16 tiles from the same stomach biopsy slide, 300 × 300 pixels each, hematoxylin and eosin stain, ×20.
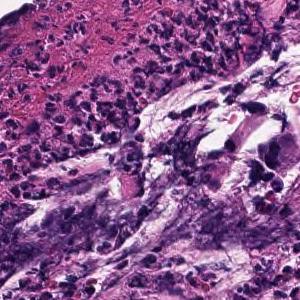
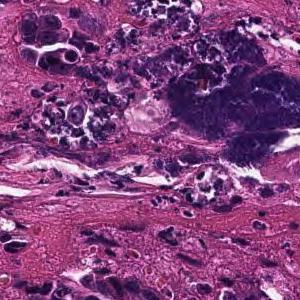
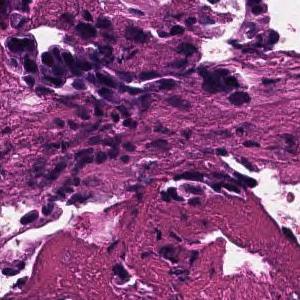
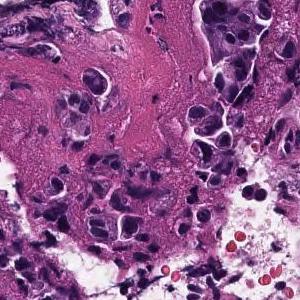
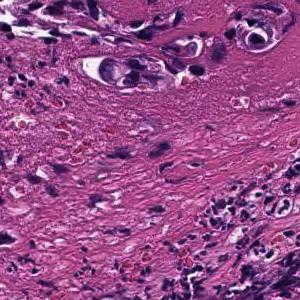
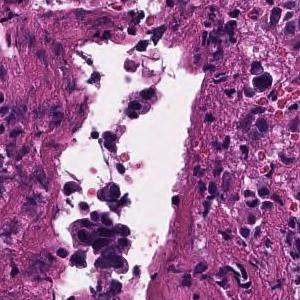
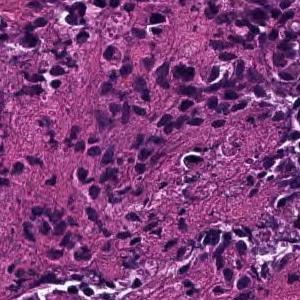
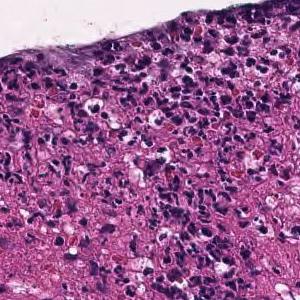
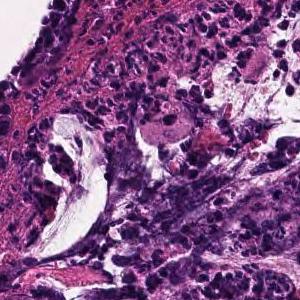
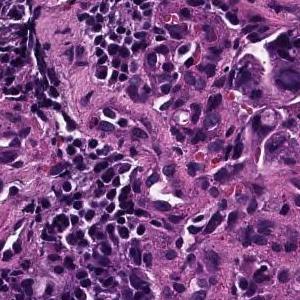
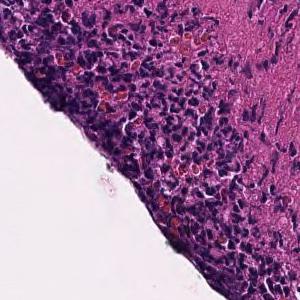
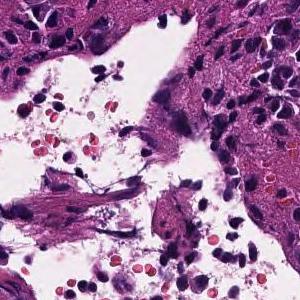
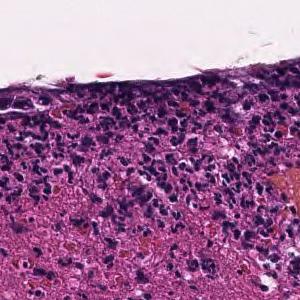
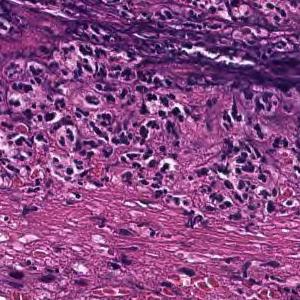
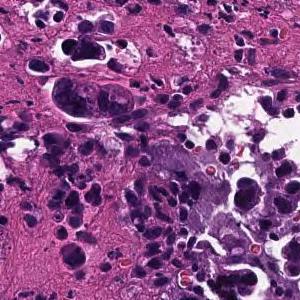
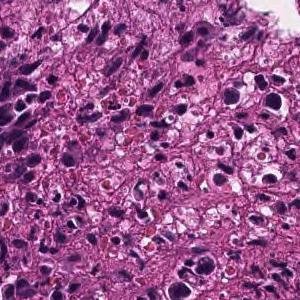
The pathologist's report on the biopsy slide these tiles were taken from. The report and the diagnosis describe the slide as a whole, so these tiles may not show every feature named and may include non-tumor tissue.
Tumor tissue consisting of cord-like or small, irregular glandular ducts fused and infiltrated is observed in the superficial epithelium. Poorly differentiated adenocarcinoma, non-solid type
The non-solid type named here is a Japanese Classification of Gastric Carcinoma category.
